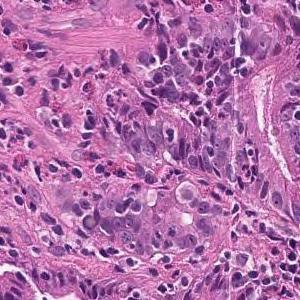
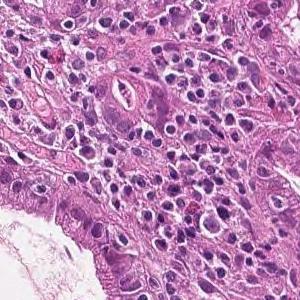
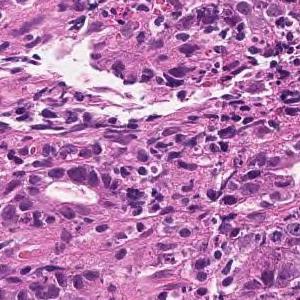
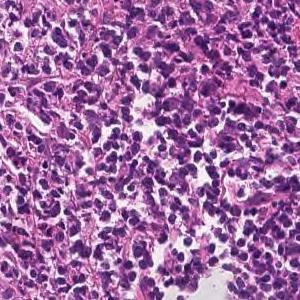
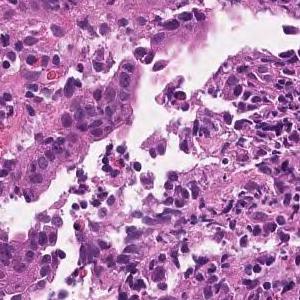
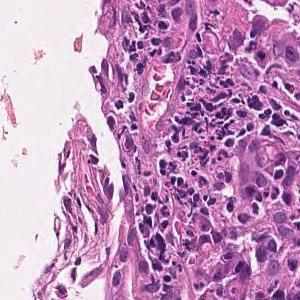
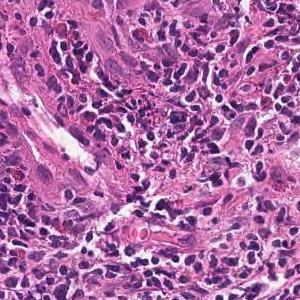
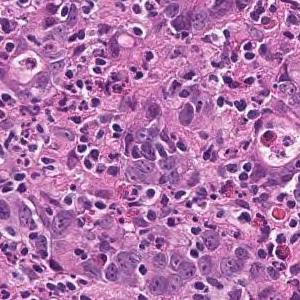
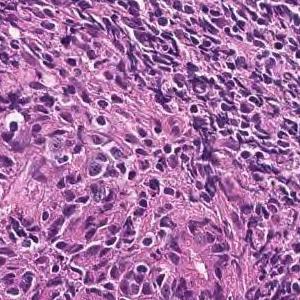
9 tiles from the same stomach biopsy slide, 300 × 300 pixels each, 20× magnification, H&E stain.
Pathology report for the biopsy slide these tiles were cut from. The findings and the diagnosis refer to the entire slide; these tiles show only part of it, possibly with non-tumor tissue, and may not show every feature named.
Tumor tissue consisting of medium-sized, cord-like or irregular glandular infiltration is observed in the superficial epithelium. Poorly differentiated adenocarcinoma, non-solid type or moderately differentiated tubular adenocarcinoma
Dataset label: poorly differentiated adenocarcinoma, non-solid type.
The non-solid type named here is a Japanese Classification of Gastric Carcinoma category.
